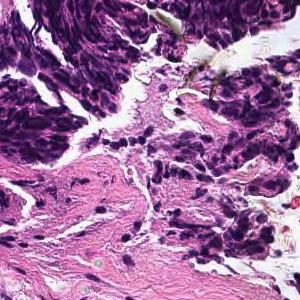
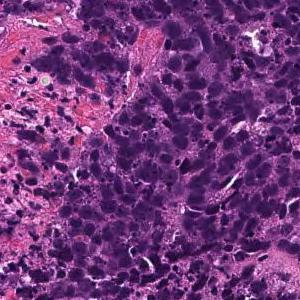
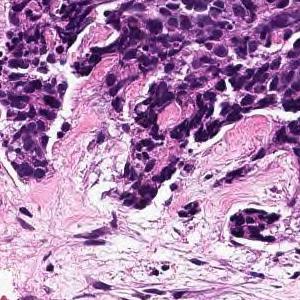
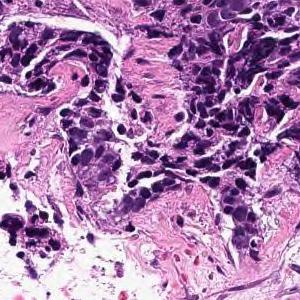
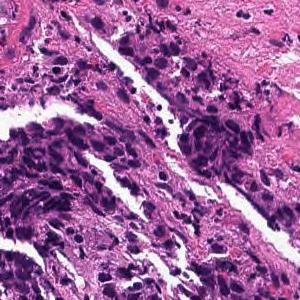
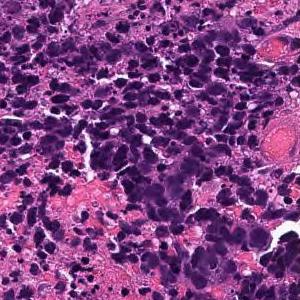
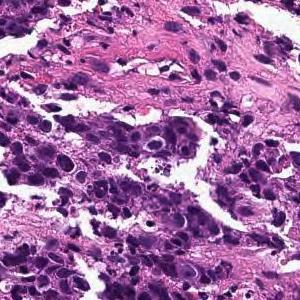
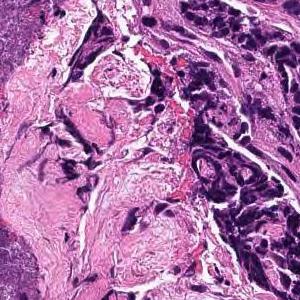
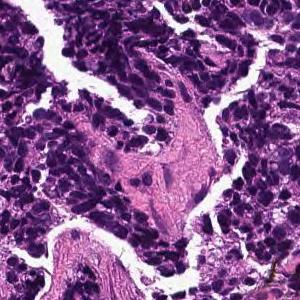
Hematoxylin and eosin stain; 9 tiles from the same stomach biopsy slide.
Diagnostic report for the slide these tiles come from. The report and the diagnosis cover the entire slide, so not every feature they name need be visible here, and some tissue shown may not be tumor.
The superficial epithelium shows a large sheet or alveolar shape, and tumor tissue infiltrating without irregular ducts is observed. Poorly differentiated adenocarcinoma, solid-type
Subtype: Poorly differentiated adenocarcinoma, solid type, a category of the Japanese Classification of Gastric Carcinoma; in the WHO 2019 classification it is tubular adenocarcinoma, poorly differentiated.
